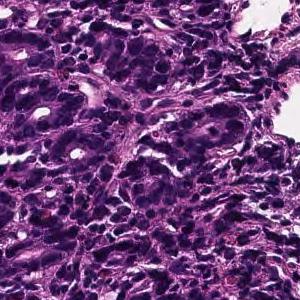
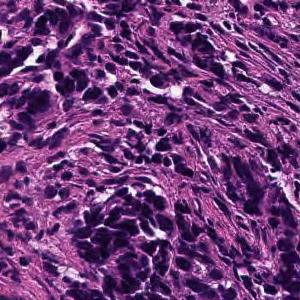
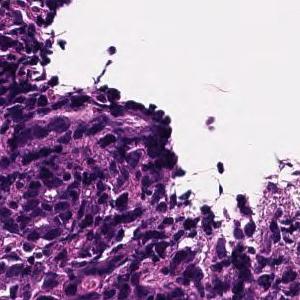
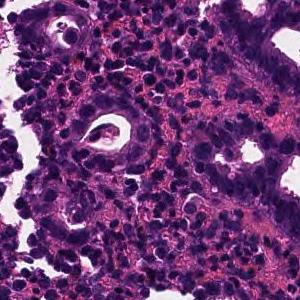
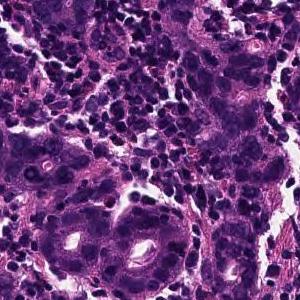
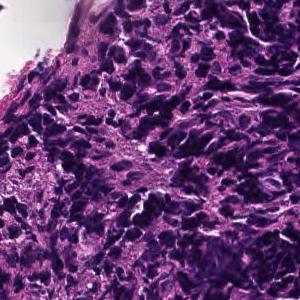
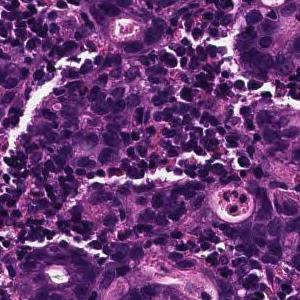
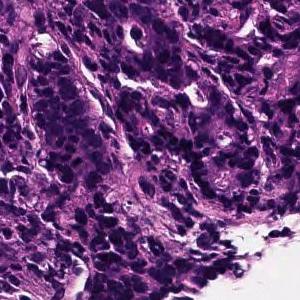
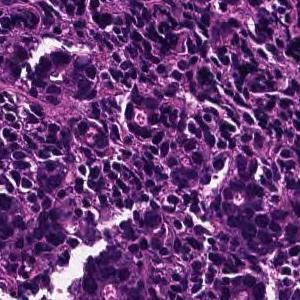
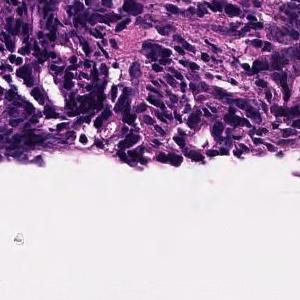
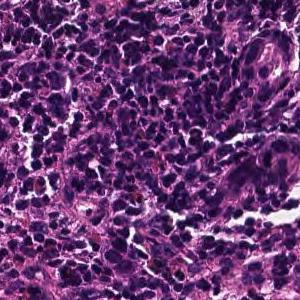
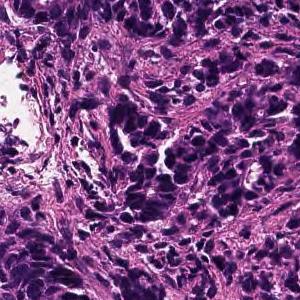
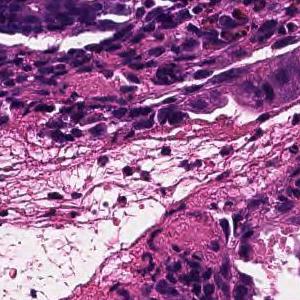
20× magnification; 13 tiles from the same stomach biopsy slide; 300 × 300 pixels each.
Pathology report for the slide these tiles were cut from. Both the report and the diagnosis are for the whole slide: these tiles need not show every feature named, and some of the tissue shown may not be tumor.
On the superficial epithelium, tumor tissue is found in which medium-sized irregular gland ducts fuse with each other and infiltrate. moderately differentiated tubular adenocarcinoma or Poorly differentiated adenocarcinoma, non-solid type
Histological subtype: Moderately to poorly differentiated adenocarcinoma.
The non-solid type named here is a Japanese Classification of Gastric Carcinoma category.
